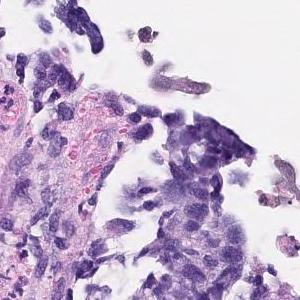
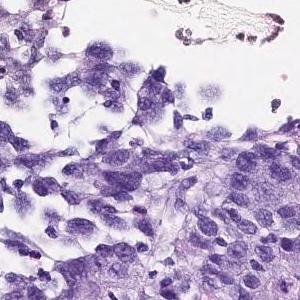
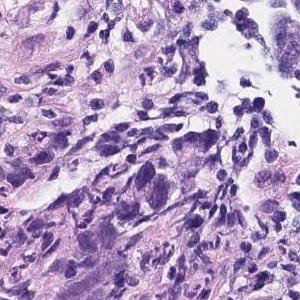
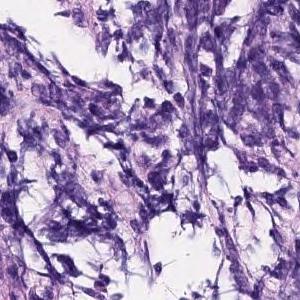
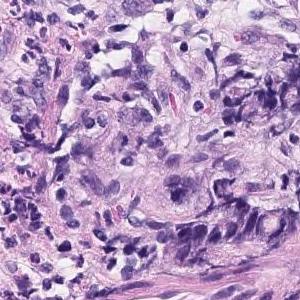
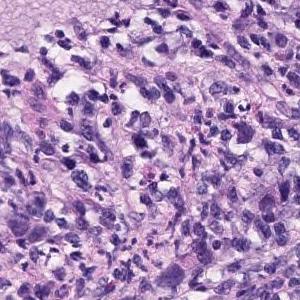
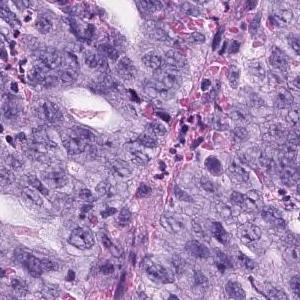
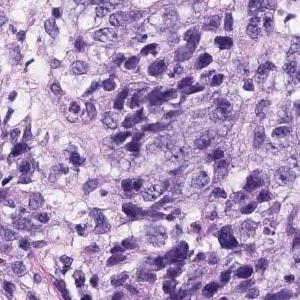
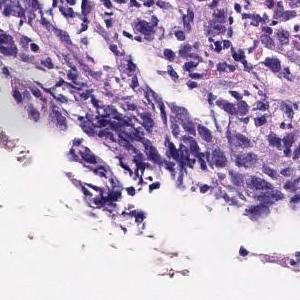
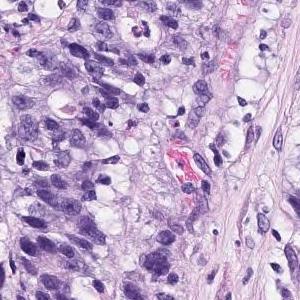
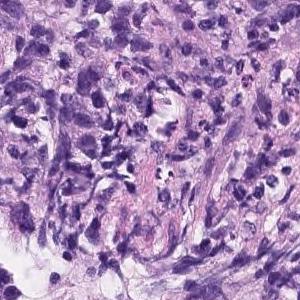
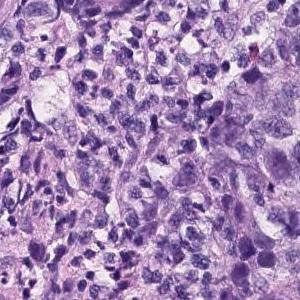
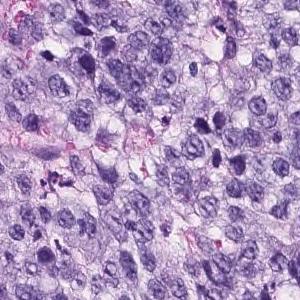
20× magnification, H&E, 13 tiles cut from one stomach biopsy slide.
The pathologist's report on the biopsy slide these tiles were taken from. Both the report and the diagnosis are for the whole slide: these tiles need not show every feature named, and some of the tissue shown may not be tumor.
The superficial epithelium shows a large sheet-like shape, and some tumor tissue infiltrates with small irregular ducts. Poorly differentiated adenocarcinoma, solid-type
Tumor subtype: poorly differentiated adenocarcinoma, solid type. This name comes from the Japanese Classification of Gastric Carcinoma; the WHO 2019 classification calls it tubular adenocarcinoma, poorly differentiated.
